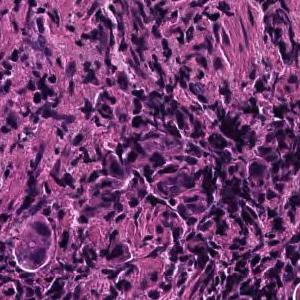
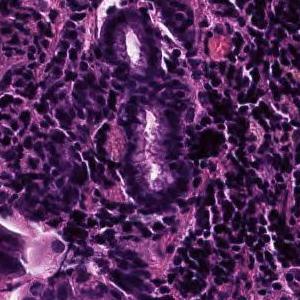
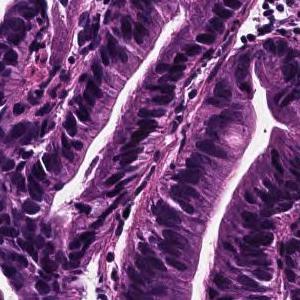
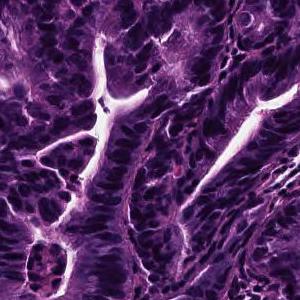
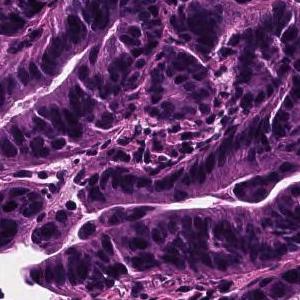
20× magnification, H&E stain, 5 patches cut from one gastric biopsy slide, each 300 × 300 pixels.
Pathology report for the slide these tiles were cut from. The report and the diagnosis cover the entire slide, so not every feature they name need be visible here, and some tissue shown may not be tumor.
On the superficial epithelium, tumor tissue consisting of large, irregular glandular ducts partially fused and infiltrated is observed. Well to moderately differentiated tubular adenocarcinoma (well differentiated tubular adenocarcinoma, moderately differentiated tubular adenocarcinoma)
Histological subtype: Well to moderately differentiated tubular adenocarcinoma.
